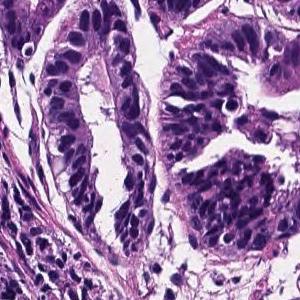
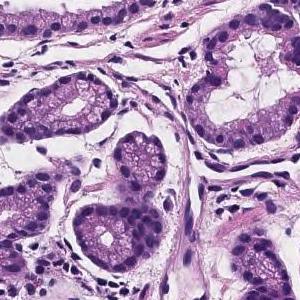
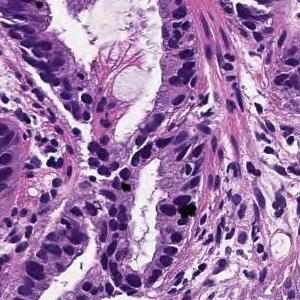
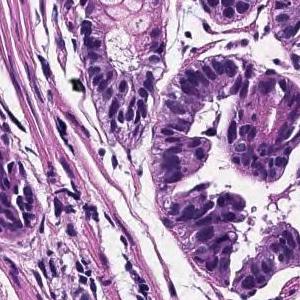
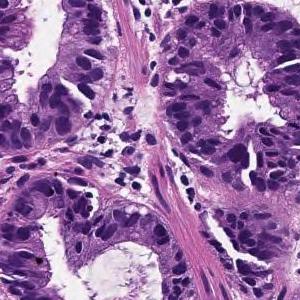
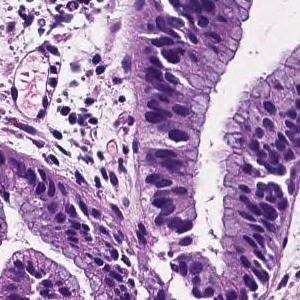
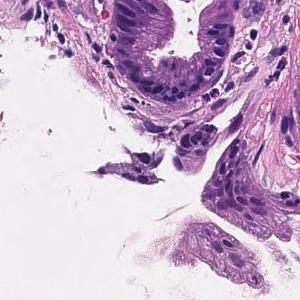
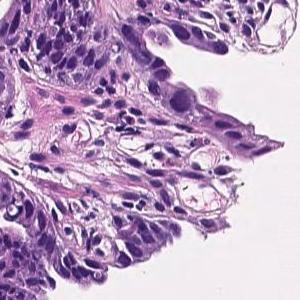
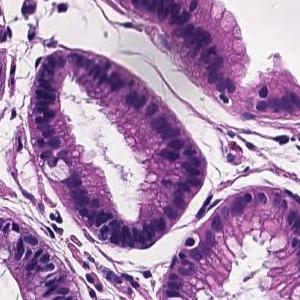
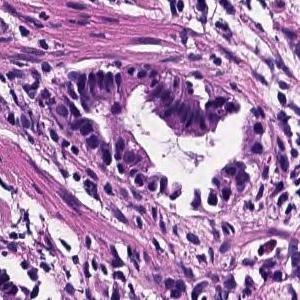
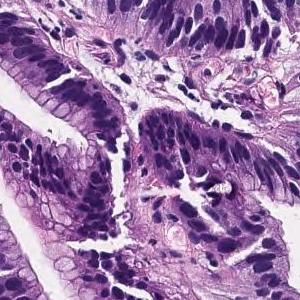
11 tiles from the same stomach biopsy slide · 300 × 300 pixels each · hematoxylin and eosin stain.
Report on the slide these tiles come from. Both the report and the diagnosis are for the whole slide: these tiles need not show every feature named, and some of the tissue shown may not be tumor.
Tumor cells are large, highly columnar, large club-shaped nuclei, and are associated with chromatin aggregation. Papillary adenocarcinoma.
